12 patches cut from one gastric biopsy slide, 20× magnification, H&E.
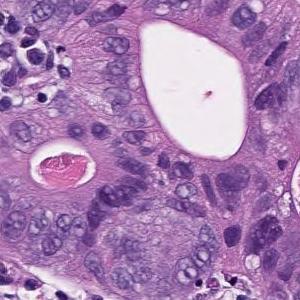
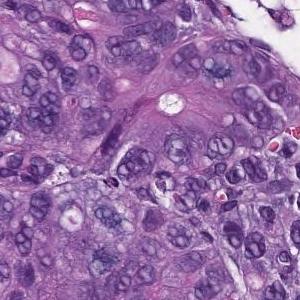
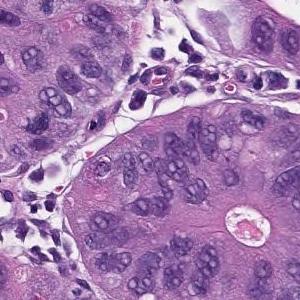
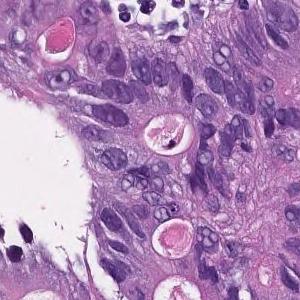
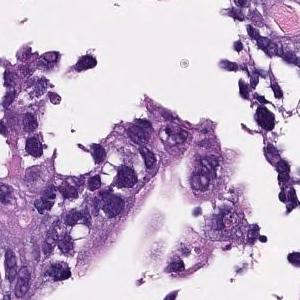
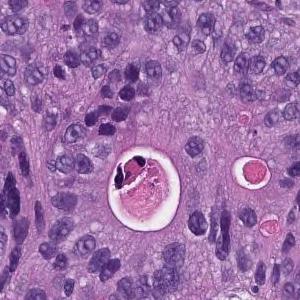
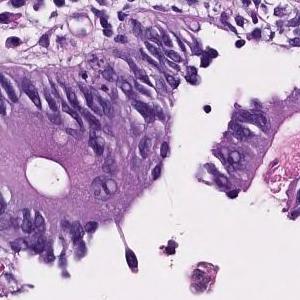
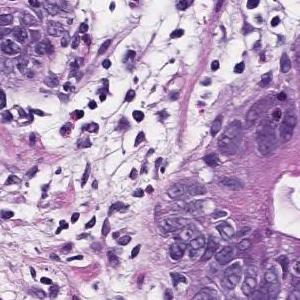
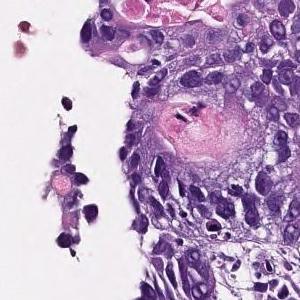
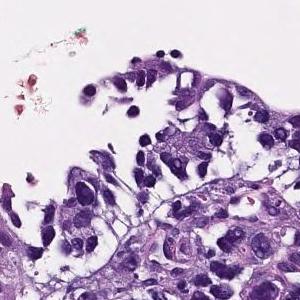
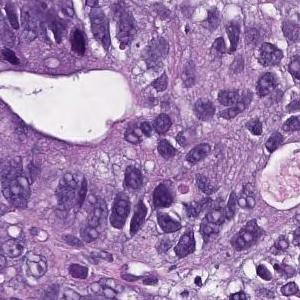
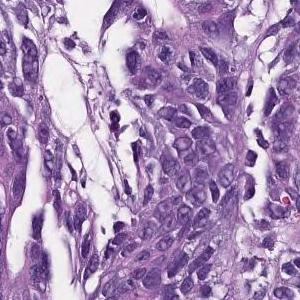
Pathology report for the slide these tiles were cut from. The report and the diagnosis cover the entire slide, so not every feature they name need be visible here, and some tissue shown may not be tumor.
In the superficial epithelium, tumor tissue that invades by forming medium-sized to small, irregular ducts is observed. moderately differentiated tubular adenocarcinoma.
